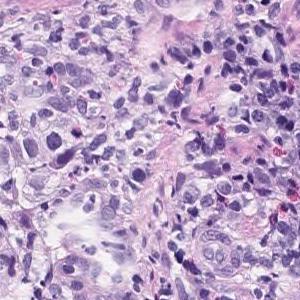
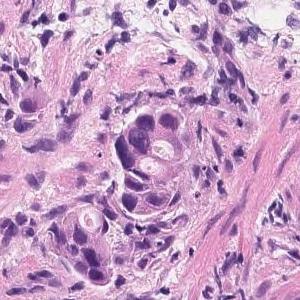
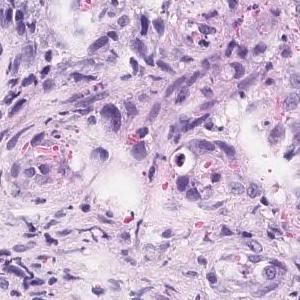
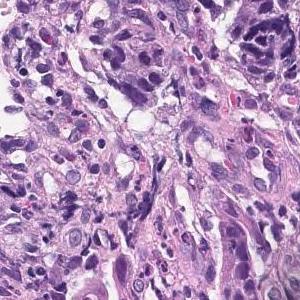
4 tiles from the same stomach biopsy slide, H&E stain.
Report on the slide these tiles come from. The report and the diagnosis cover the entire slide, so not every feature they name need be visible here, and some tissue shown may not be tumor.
Group 5, Moderately differentiated adenocarcinoma
Classified as moderately differentiated tubular adenocarcinoma.
